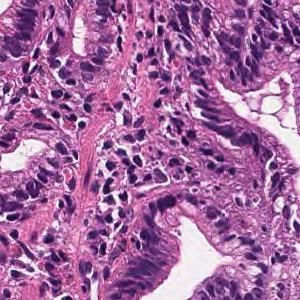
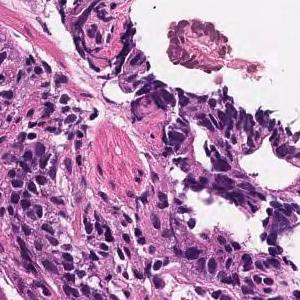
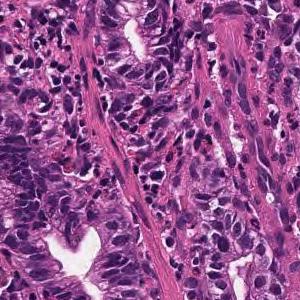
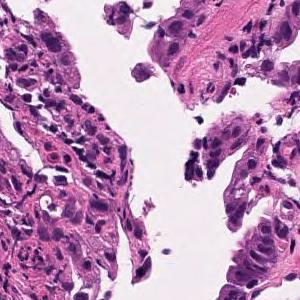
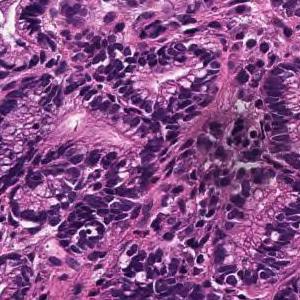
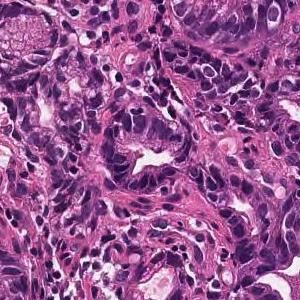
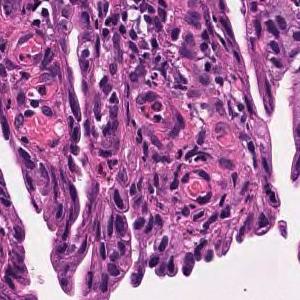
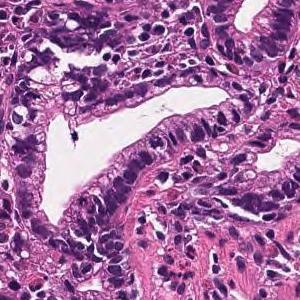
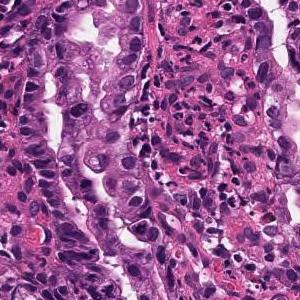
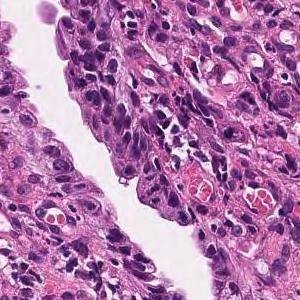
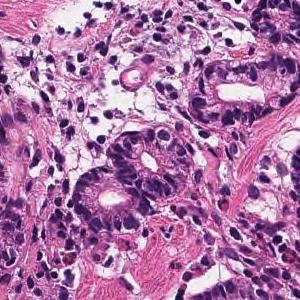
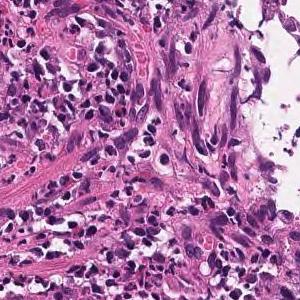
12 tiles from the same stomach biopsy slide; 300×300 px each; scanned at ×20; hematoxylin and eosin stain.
Diagnostic report for the slide these tiles come from. The report describes the whole slide, diagnosis included: not every finding it names need appear in these tiles, which may also show non-tumor tissue.
Tumor tissue in which medium to small irregular ducts infiltrate and proliferate in the submucosa can be seen in the epithelium. Well differentiated tubular adenocarcinoma
